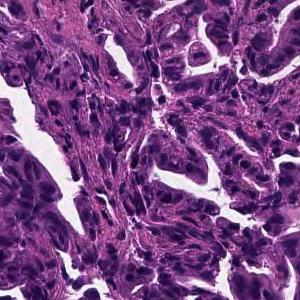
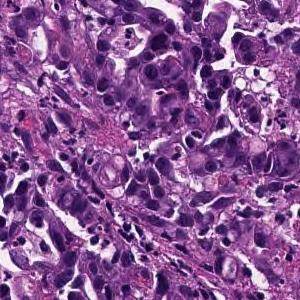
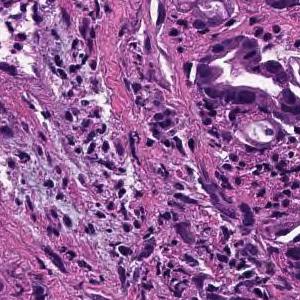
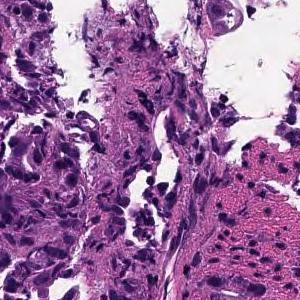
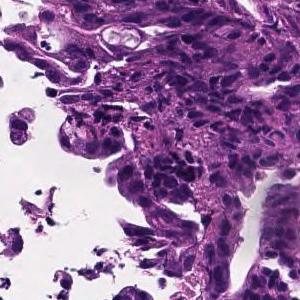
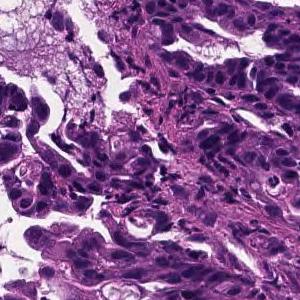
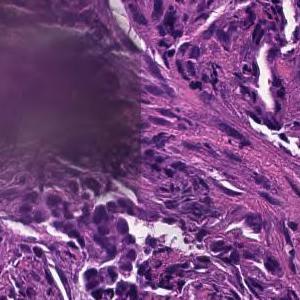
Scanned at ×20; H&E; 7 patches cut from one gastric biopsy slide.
Diagnostic report for the slide these tiles come from. Both the report and the diagnosis are for the whole slide: these tiles need not show every feature named, and some of the tissue shown may not be tumor.
Tumor tissue consisting of medium-sized, cord-like or irregular glandular infiltration is observed in the superficial epithelium. Poorly differentiated adenocarcinoma, non-solid type or moderately differentiated tubular adenocarcinoma
Tumor subtype: moderately to poorly differentiated adenocarcinoma.
The non-solid type named here is a Japanese Classification of Gastric Carcinoma category.
